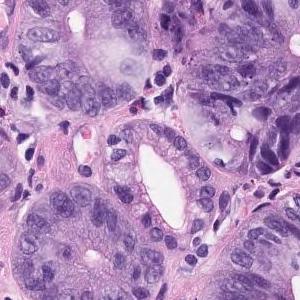
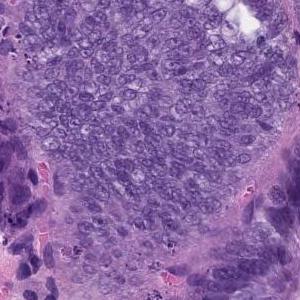
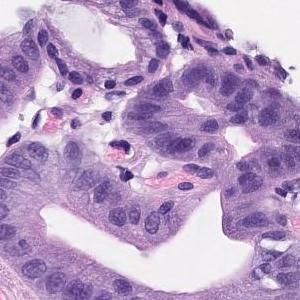
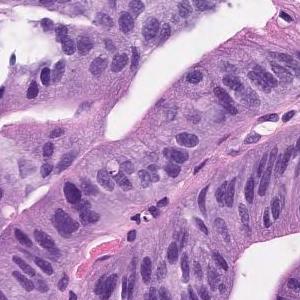
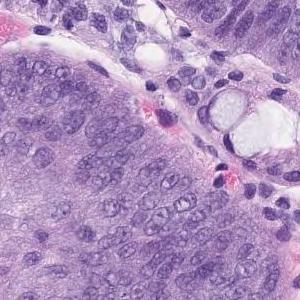
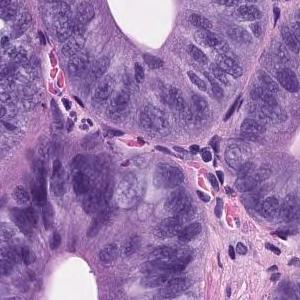
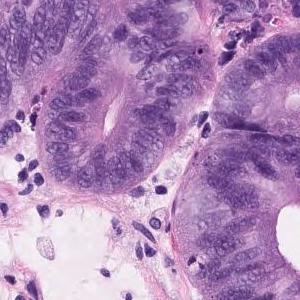
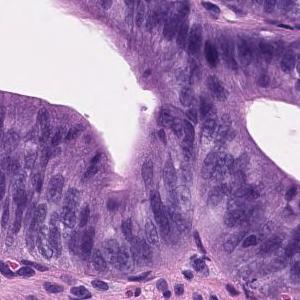
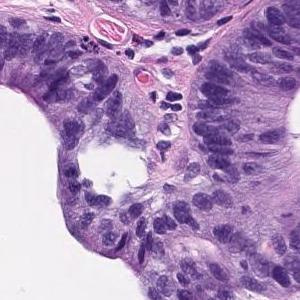
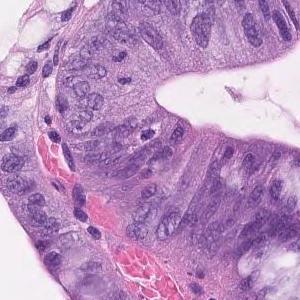
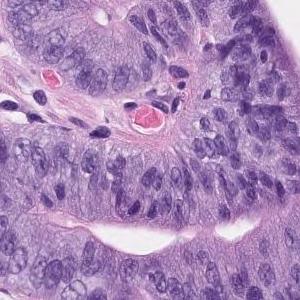
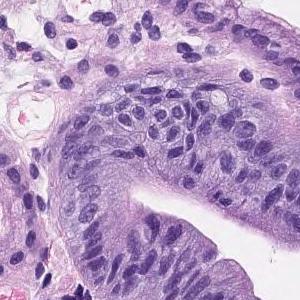
H&E, scanned at ×20, 12 tiles from the same stomach biopsy slide.
Report on the slide these tiles come from. The report describes the whole slide, diagnosis included: not every finding it names need appear in these tiles, which may also show non-tumor tissue.
On the superficial epithelium, tumor tissue consisting of images of atypical ducts of different sizes partially fused and densely proliferating is observed. Well differentiated tubular adenocarcinoma
